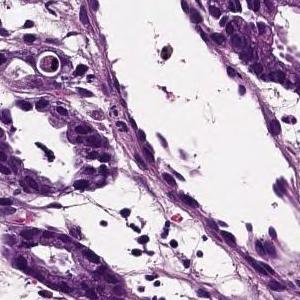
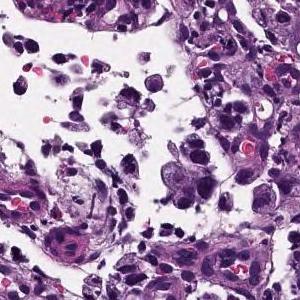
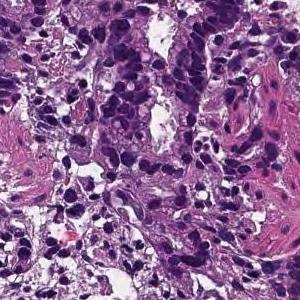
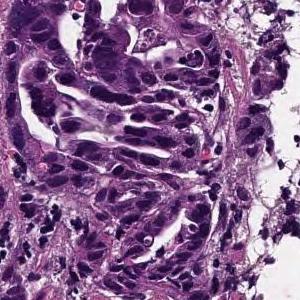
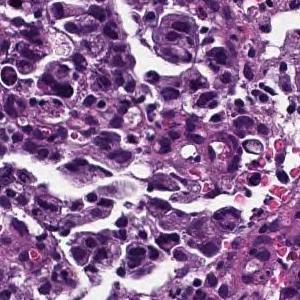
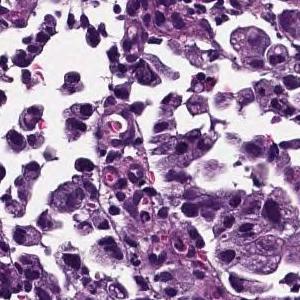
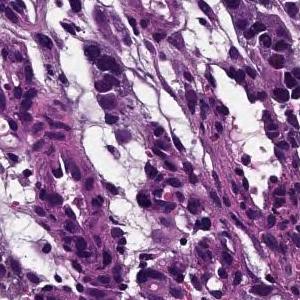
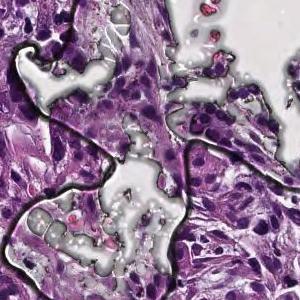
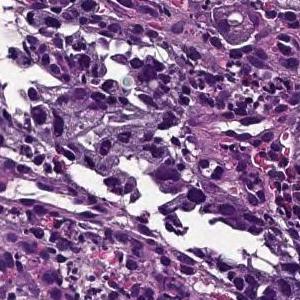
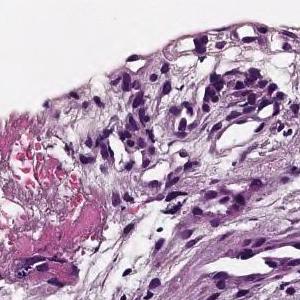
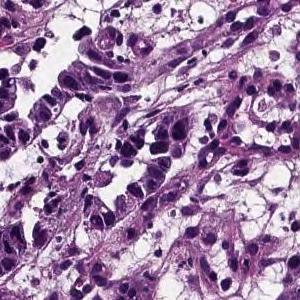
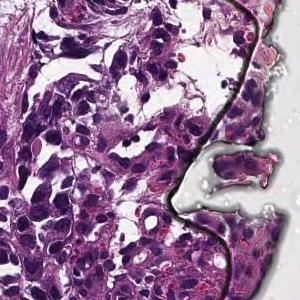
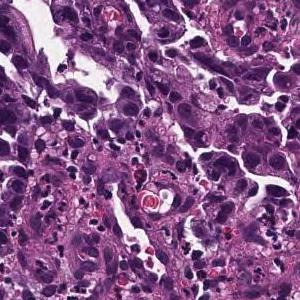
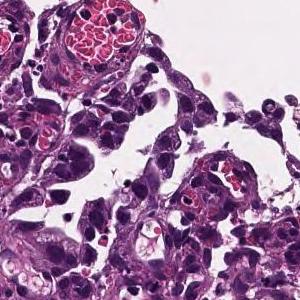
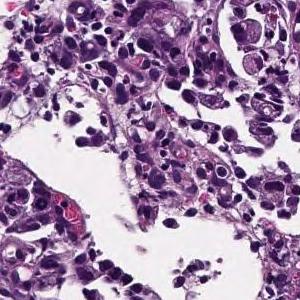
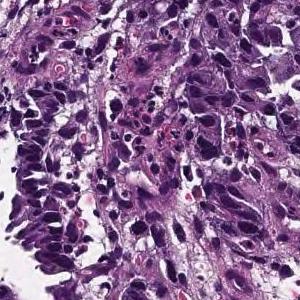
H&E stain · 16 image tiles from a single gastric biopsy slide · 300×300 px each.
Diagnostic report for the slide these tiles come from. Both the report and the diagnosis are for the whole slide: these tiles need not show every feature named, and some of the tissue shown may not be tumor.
Medium to small, irregular glandular ducts are formed in the superficial epithelium, and in some cases, the glandular ducts are fused to show solid alveolar lesions and infiltrating tumor tissue is observed. Moderately to poorly differentiated adenocarcinoma.
